6 tiles cut from one stomach biopsy slide; 300×300 px each; scanned at ×20.
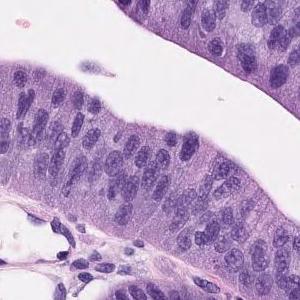
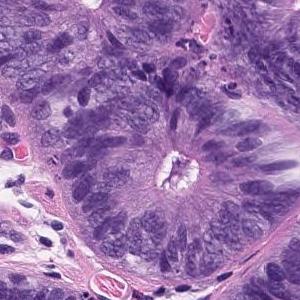
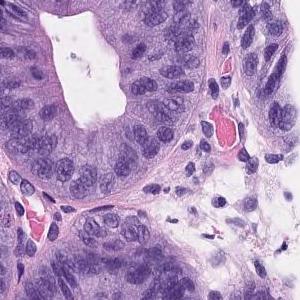
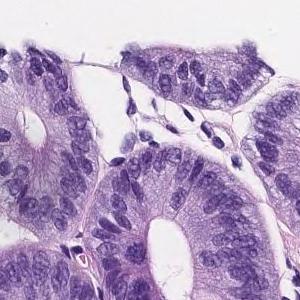
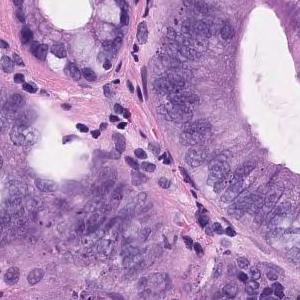
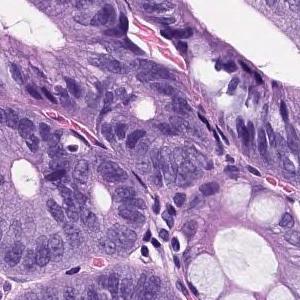
Diagnostic report for the slide these tiles come from. The findings and the diagnosis refer to the entire slide; these tiles show only part of it, possibly with non-tumor tissue, and may not show every feature named.
On the superficial epithelium, tumor tissue consisting of images of atypical ducts of different sizes partially fused and densely proliferating is observed. Well differentiated tubular adenocarcinoma
